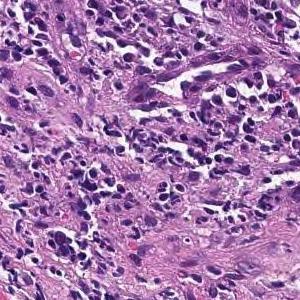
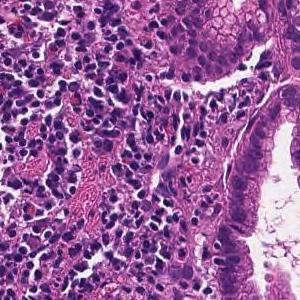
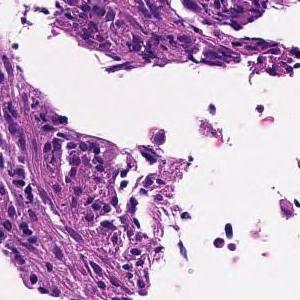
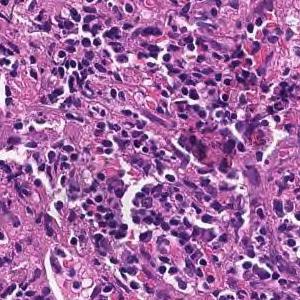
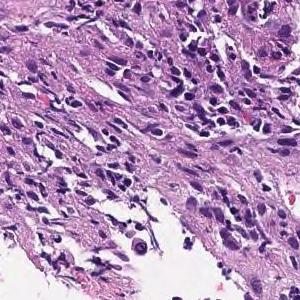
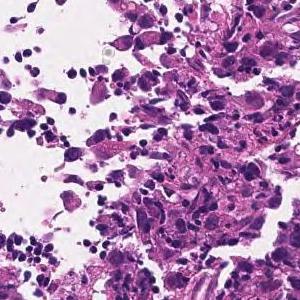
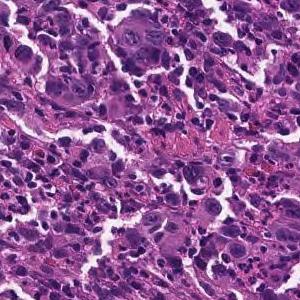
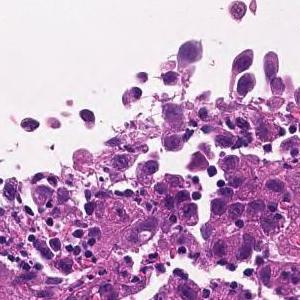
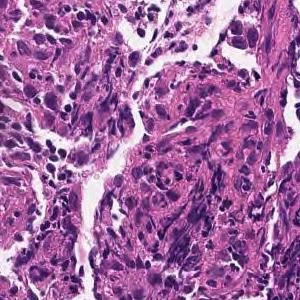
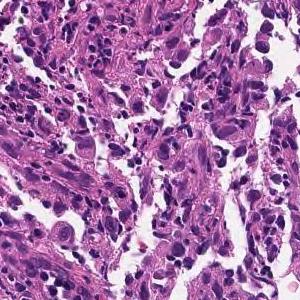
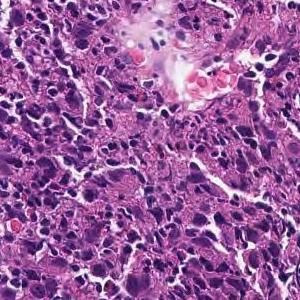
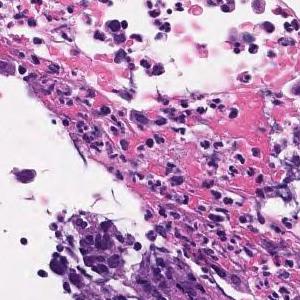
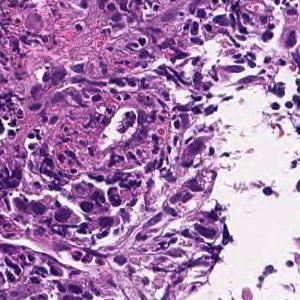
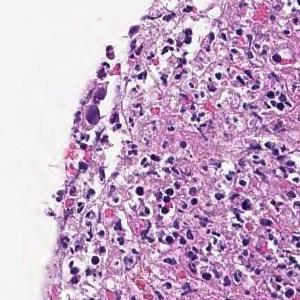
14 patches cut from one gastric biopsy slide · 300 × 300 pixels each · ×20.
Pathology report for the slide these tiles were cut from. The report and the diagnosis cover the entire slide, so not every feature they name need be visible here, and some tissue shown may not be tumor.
The superficial epithelium shows a large sheet-like shape, and some tumor tissue infiltrates with small irregular ducts. Poorly differentiated adenocarcinoma, solid-type (poorly differentiated adenocarcinoma, solid type)
Histological subtype: Poorly differentiated adenocarcinoma, solid type. This name comes from the Japanese Classification of Gastric Carcinoma; the WHO 2019 classification calls it tubular adenocarcinoma, poorly differentiated.
